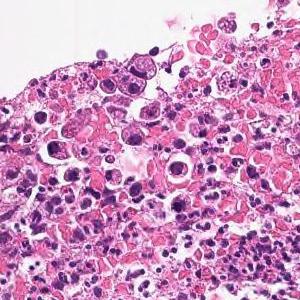
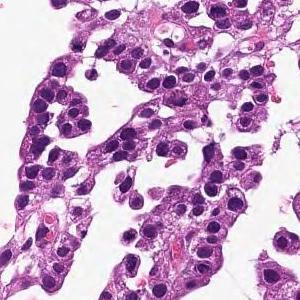
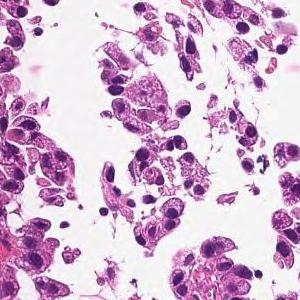
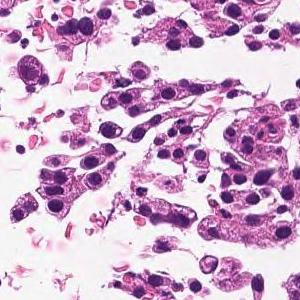
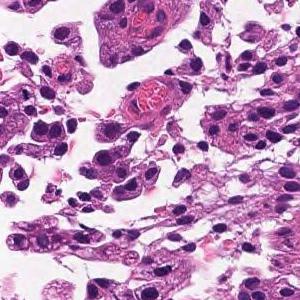
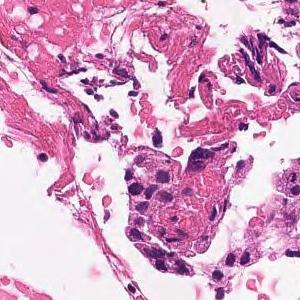
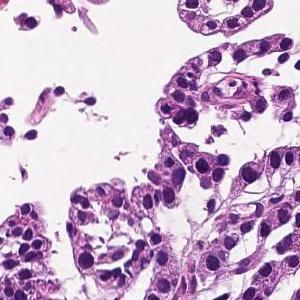
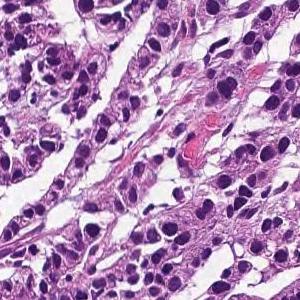
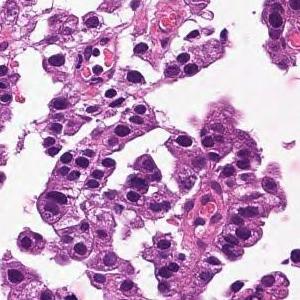
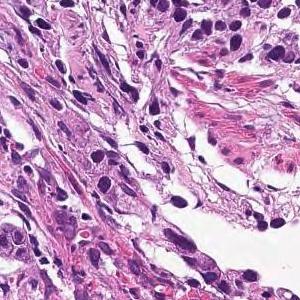
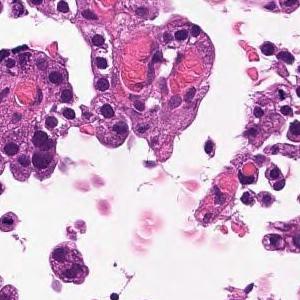
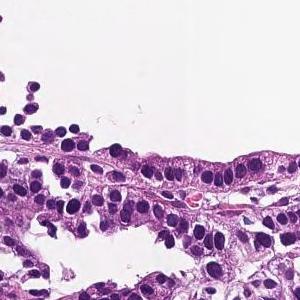
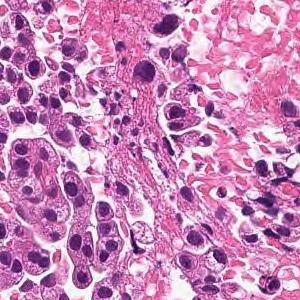
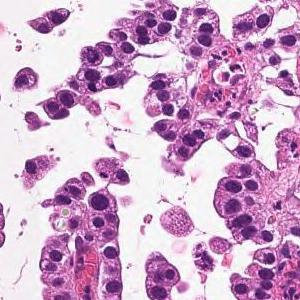
20× magnification · hematoxylin and eosin stain · 14 tiles cut from one stomach biopsy slide · 300×300 px each.
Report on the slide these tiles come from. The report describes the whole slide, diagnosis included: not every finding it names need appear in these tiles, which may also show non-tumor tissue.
In the superficial epithelium, tumor tissue that invades by forming medium-sized to small, irregular ducts is observed. moderately differentiated tubular adenocarcinoma.
